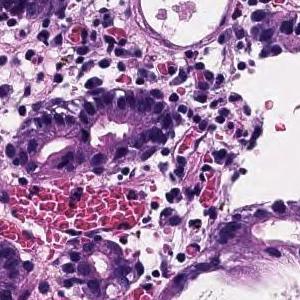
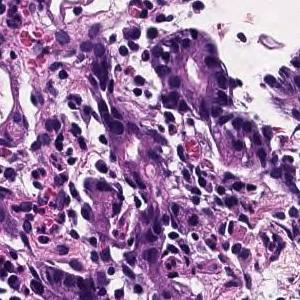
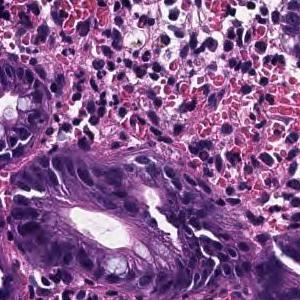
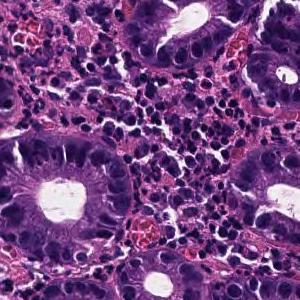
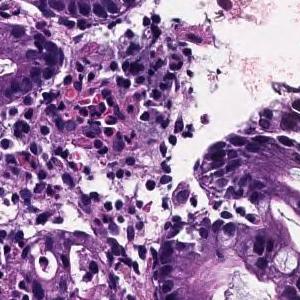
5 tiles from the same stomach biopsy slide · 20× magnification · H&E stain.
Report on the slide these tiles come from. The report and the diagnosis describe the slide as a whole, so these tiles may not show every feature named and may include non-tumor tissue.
In the superficial epithelium, tumor tissue that invades by forming medium-sized to small, irregular ducts is observed. moderately differentiated tubular adenocarcinoma.
